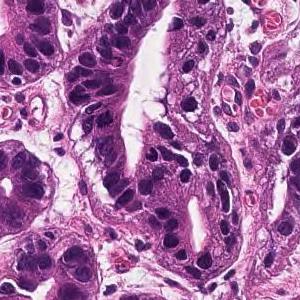
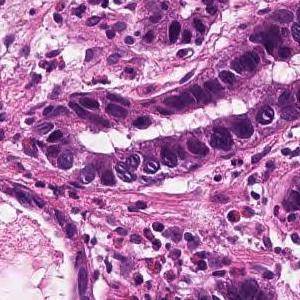
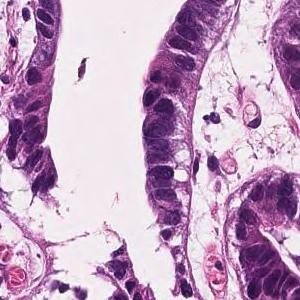
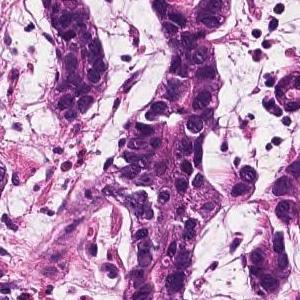
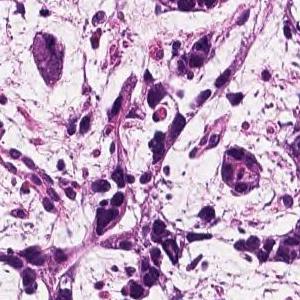
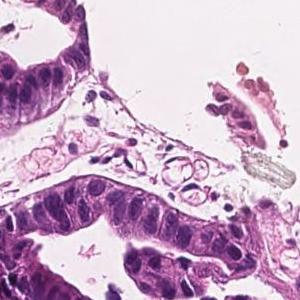
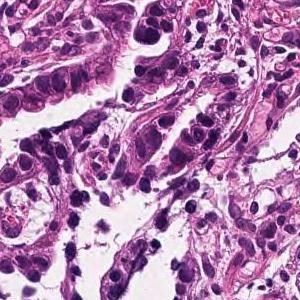
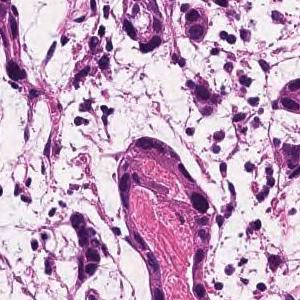
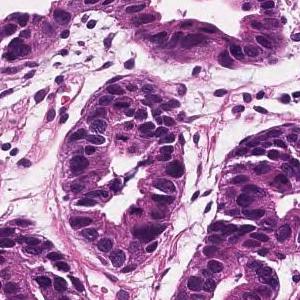
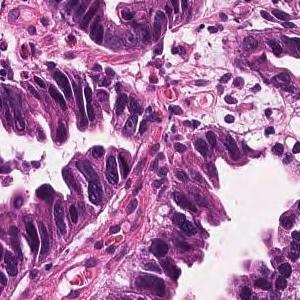
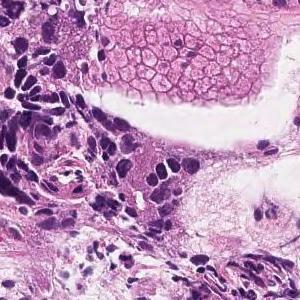
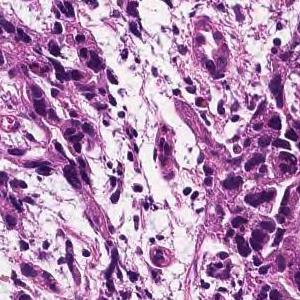
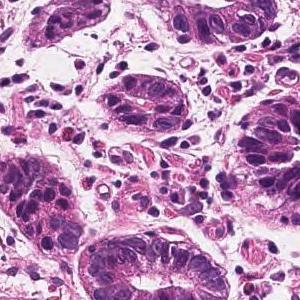
13 tiles from the same stomach biopsy slide.
Pathology report for the biopsy slide these tiles were cut from. Both the report and the diagnosis are for the whole slide: these tiles need not show every feature named, and some of the tissue shown may not be tumor.
In the superficial epithelium, tumor tissue that invades by forming medium-sized to small, irregular ducts is observed. Well differentiated tubular adenocarcinoma.
